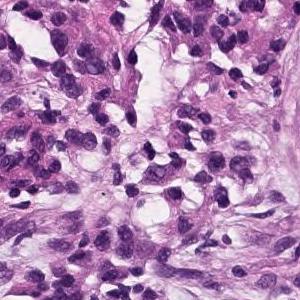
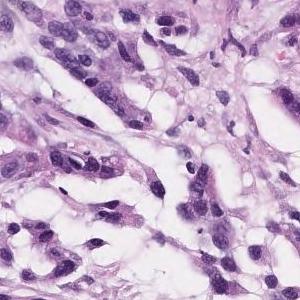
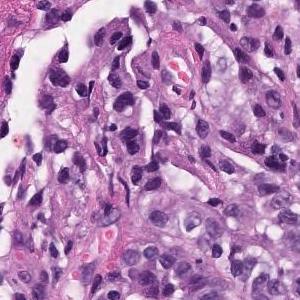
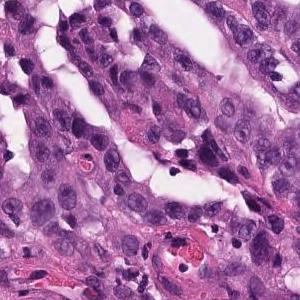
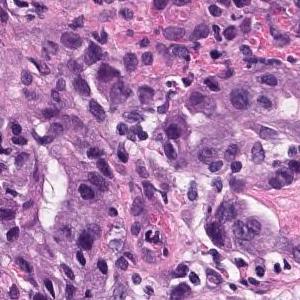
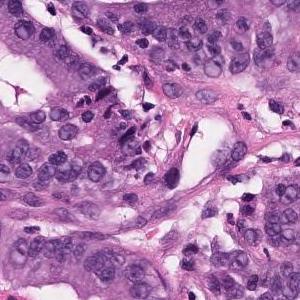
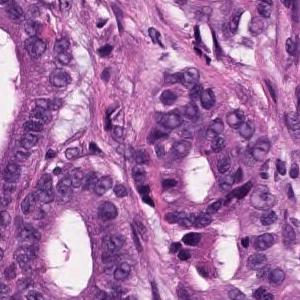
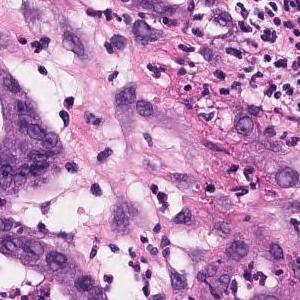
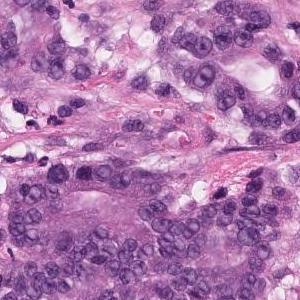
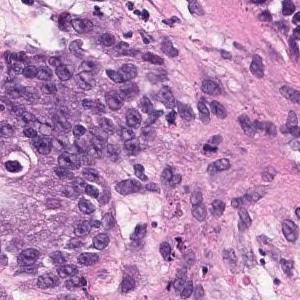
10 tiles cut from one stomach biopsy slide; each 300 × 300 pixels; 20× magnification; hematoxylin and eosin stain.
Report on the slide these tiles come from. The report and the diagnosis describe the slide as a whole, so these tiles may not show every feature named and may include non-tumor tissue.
In the superficial epithelium, tumor tissue that invades by forming medium-sized to small, irregular ducts is observed. Moderately differentiated adenocarcinoma.
Classified as moderately differentiated tubular adenocarcinoma.
